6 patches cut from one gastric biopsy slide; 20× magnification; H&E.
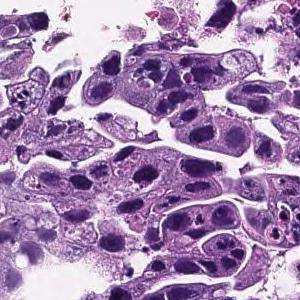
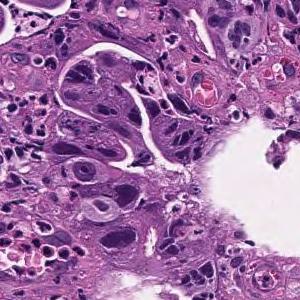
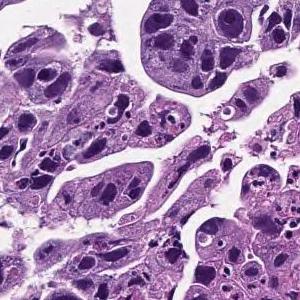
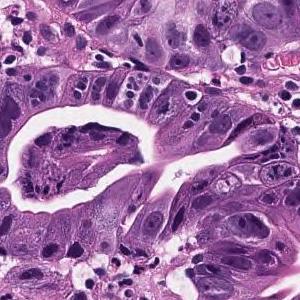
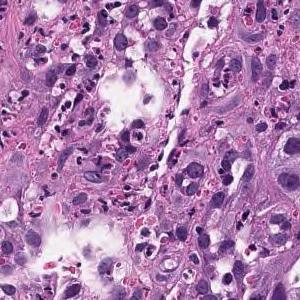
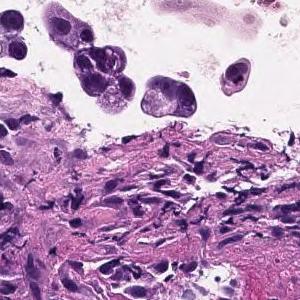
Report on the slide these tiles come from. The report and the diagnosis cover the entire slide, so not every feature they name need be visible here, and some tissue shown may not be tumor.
In the superficial epithelium, medium to small irregular gland ducts are formed, and in some cases, the ducts are fused to show solid alveolar lesions and infiltrating tumor tissue is observed. Moderately to poorly differentiated adenocarcinoma
